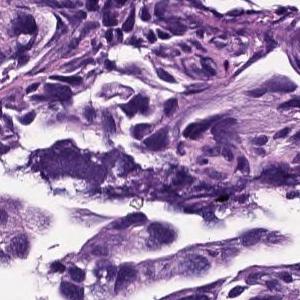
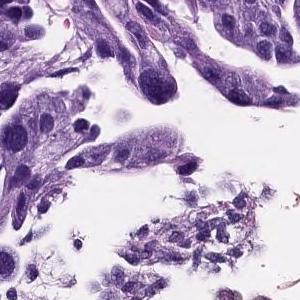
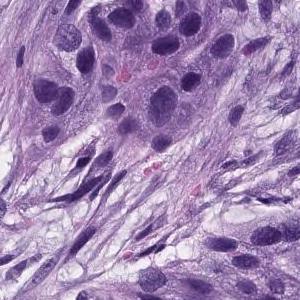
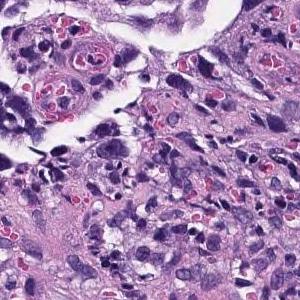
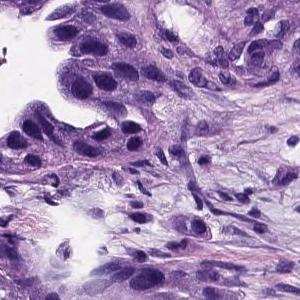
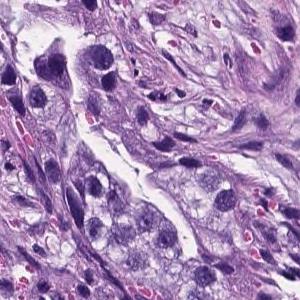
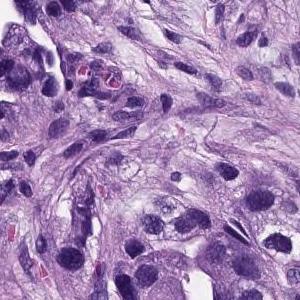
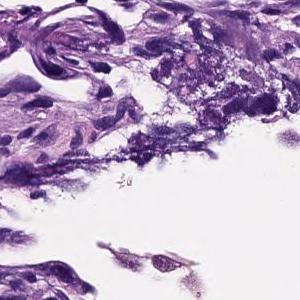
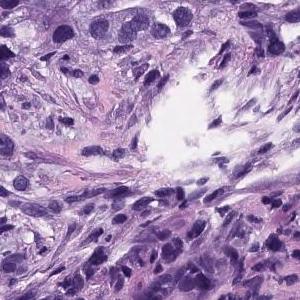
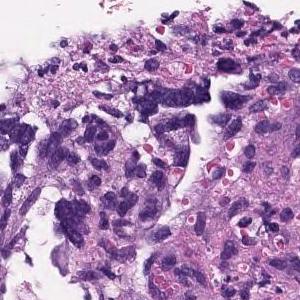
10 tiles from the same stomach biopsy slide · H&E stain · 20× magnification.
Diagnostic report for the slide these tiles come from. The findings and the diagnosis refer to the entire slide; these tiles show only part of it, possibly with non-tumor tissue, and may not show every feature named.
gastric mucosal tissue with atypical glandular proliferation arranged in tubules and acini. The tumor cells showed hyperchromatic nuclei, high N/C ratio and loss of polarity. Tubular adenocarcinoma of stomach, moderately differentiated.
Histologic type: Moderately differentiated tubular adenocarcinoma.
